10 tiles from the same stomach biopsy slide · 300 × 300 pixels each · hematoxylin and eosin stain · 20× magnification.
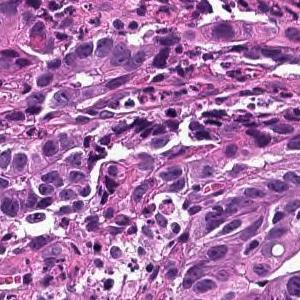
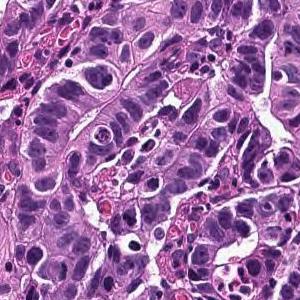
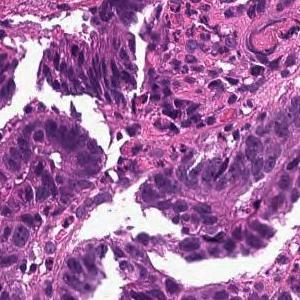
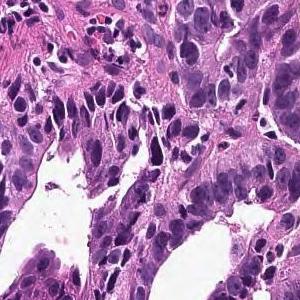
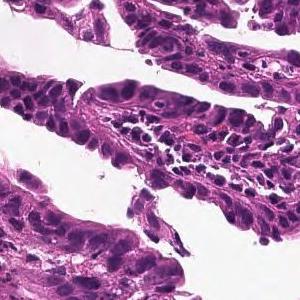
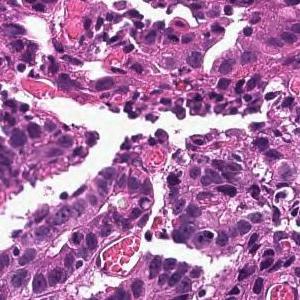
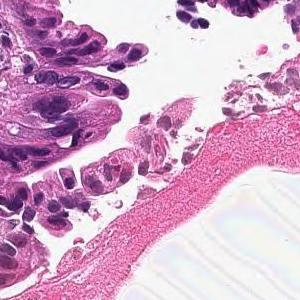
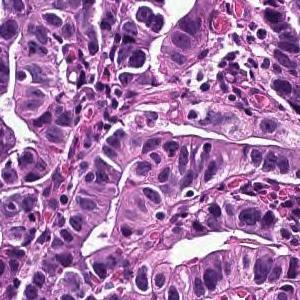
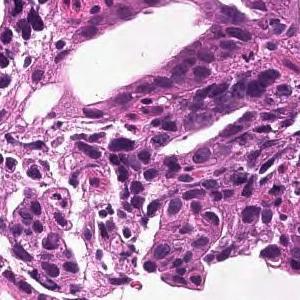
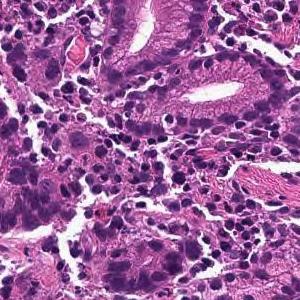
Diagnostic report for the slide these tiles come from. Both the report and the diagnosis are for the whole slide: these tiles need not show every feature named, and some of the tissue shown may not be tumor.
On the superficial epithelium, tumor tissue consisting of large, irregular glandular ducts partially fused and infiltrated is observed. Well to moderately differentiated tubular adenocarcinoma (well differentiated tubular adenocarcinoma, moderately differentiated tubular adenocarcinoma)
Histological subtype: Well to moderately differentiated tubular adenocarcinoma.
